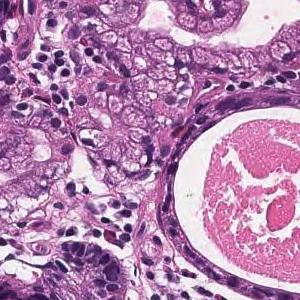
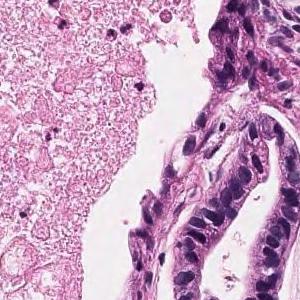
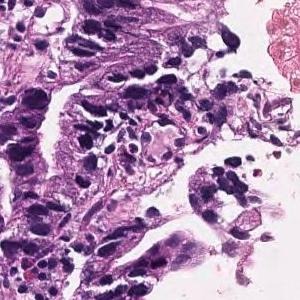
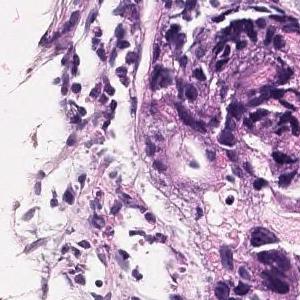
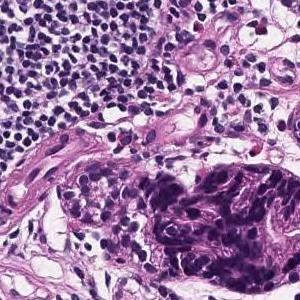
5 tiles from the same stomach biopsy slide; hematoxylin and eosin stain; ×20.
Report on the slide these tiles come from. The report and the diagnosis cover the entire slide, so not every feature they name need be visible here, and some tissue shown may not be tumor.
Tumor tissue consisting of medium-sized and irregular ducts is observed infiltrating in the superficial epithelium. Tumor cells are highly columnar, with nuclei aligned basolaterally and polarized. Well differentiated tubular adenocarcinoma.
